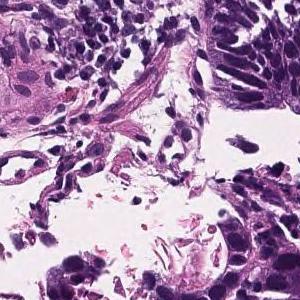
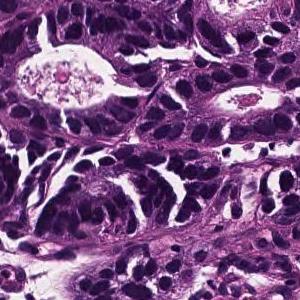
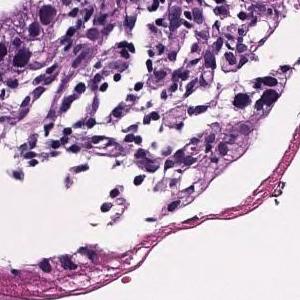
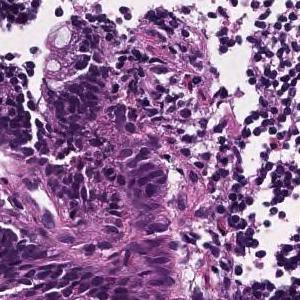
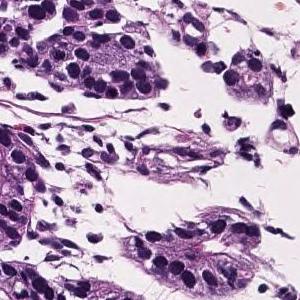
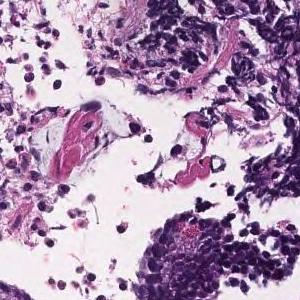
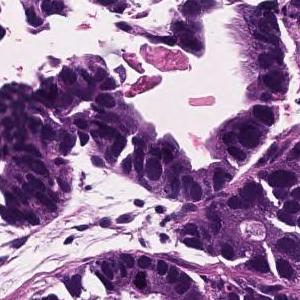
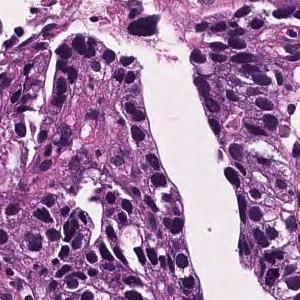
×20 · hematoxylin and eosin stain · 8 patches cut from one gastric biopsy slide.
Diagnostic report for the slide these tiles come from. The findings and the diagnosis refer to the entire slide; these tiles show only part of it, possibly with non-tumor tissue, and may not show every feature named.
In the superficial epithelium, tumor tissue that invades by forming medium-sized to small, irregular ducts is observed. Well differentiated tubular adenocarcinoma.
